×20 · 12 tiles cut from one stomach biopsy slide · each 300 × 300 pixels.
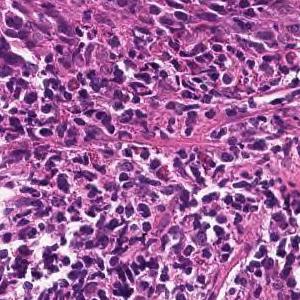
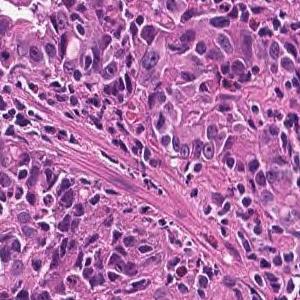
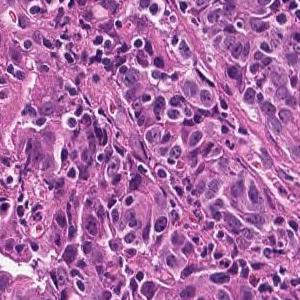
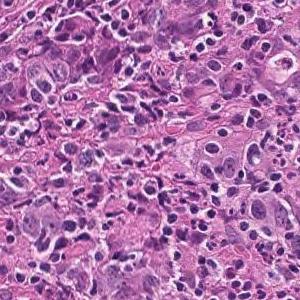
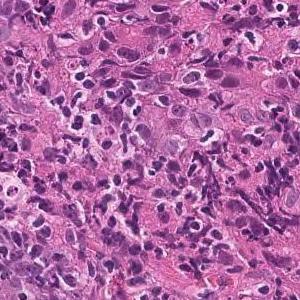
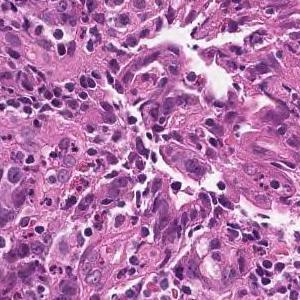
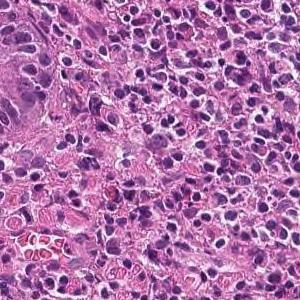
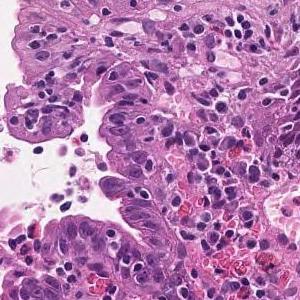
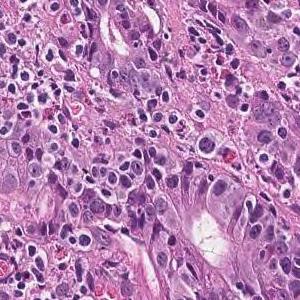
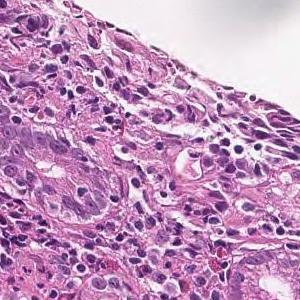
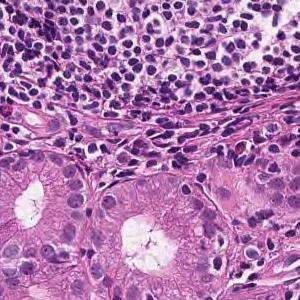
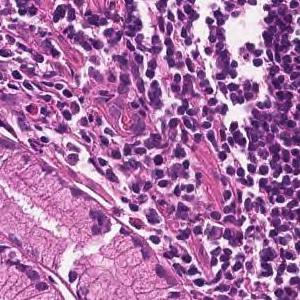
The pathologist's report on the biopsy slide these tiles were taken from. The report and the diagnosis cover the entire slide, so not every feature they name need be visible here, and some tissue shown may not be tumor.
Tumor tissue consisting of medium-sized, cord-like or irregular glandular infiltration is observed in the superficial epithelium. Poorly differentiated adenocarcinoma, non-solid type or moderately differentiated tubular adenocarcinoma
Labeled in the dataset as poorly differentiated adenocarcinoma, non-solid type.
The term "non-solid type" comes from the Japanese Classification of Gastric Carcinoma.
